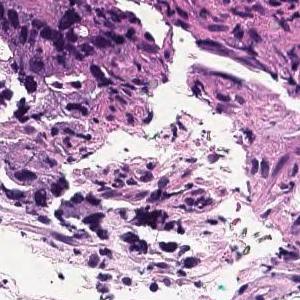
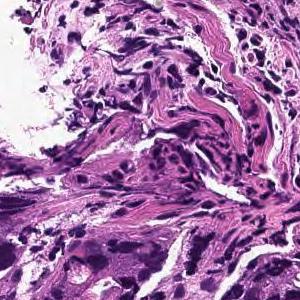
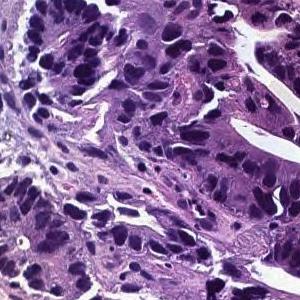
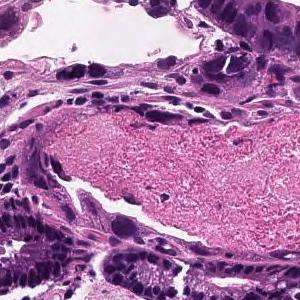
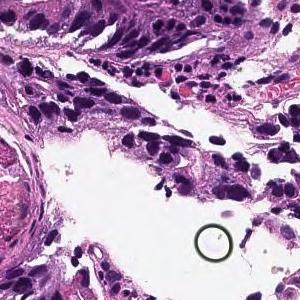
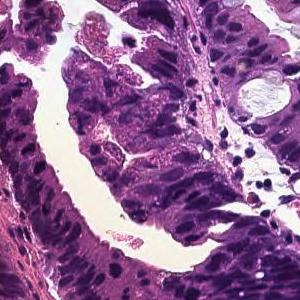
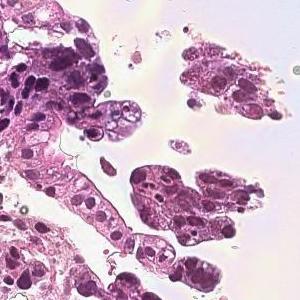
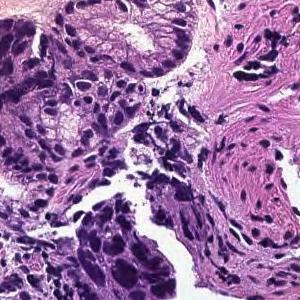
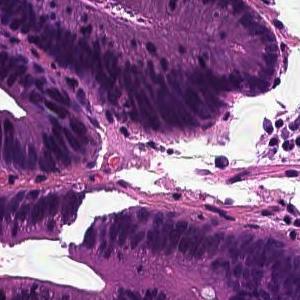
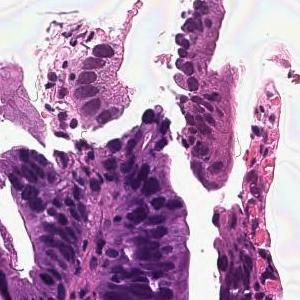
10 image tiles from a single gastric biopsy slide, 300 × 300 pixels each, hematoxylin and eosin stain, ×20.
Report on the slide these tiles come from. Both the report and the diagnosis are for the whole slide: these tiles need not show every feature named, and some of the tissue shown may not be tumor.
In the superficial epithelium, tumor tissue that invades by forming medium-sized to small, irregular ducts is observed. moderately differentiated tubular adenocarcinoma.
